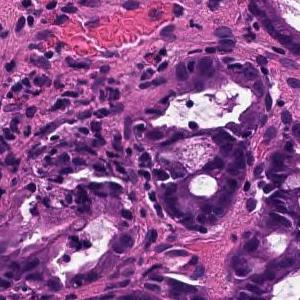
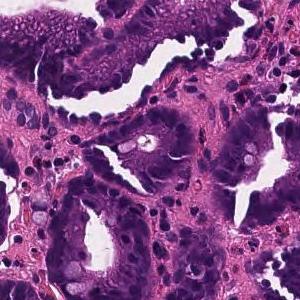
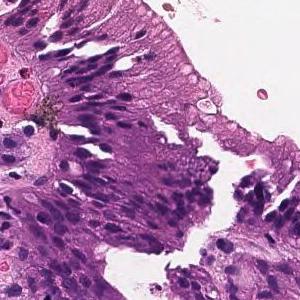
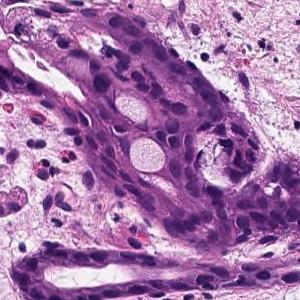
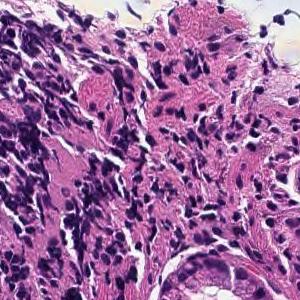
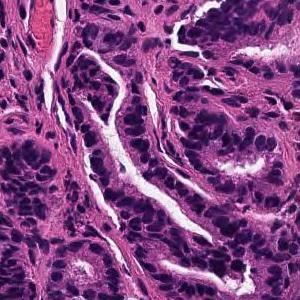
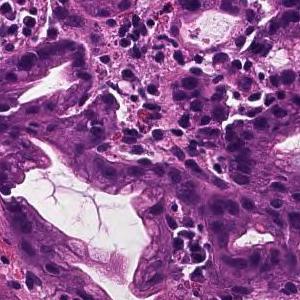
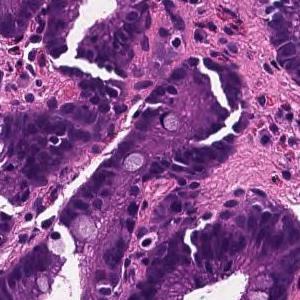
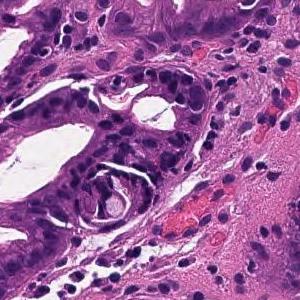
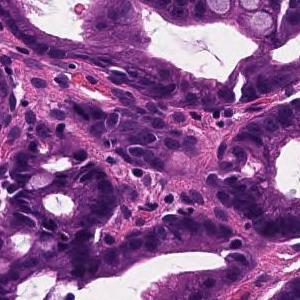
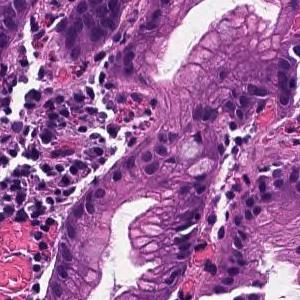
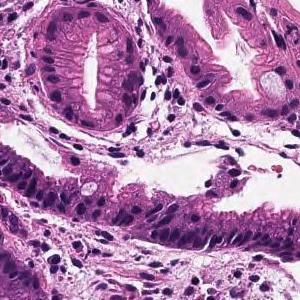
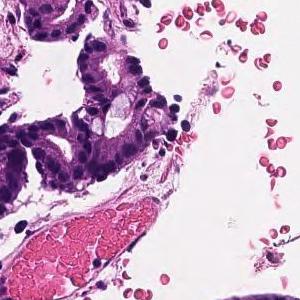
H&E, scanned at ×20, 13 patches cut from one gastric biopsy slide, 300×300 px each.
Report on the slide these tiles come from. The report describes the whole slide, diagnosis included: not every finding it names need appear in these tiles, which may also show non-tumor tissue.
From the superficial epithelium to the muscularis mucosae, tumor tissue consisting of medium-sized and irregular glandular ducts infiltrating is observed. Well differentiated tubular adenocarcinoma
